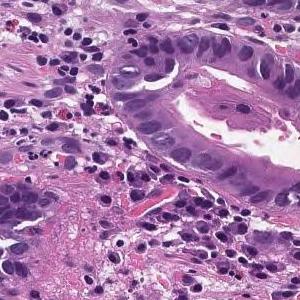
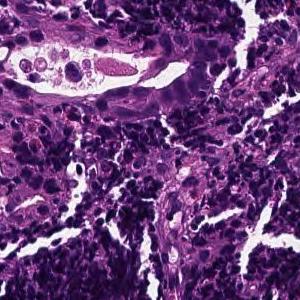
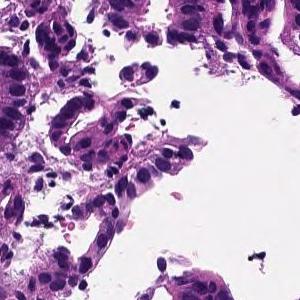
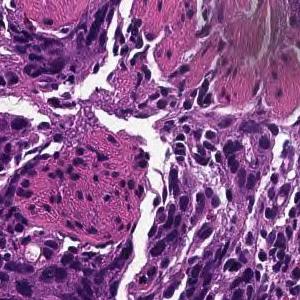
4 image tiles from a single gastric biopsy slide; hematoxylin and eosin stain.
Pathology report for the slide these tiles were cut from. The findings and the diagnosis refer to the entire slide; these tiles show only part of it, possibly with non-tumor tissue, and may not show every feature named.
In the superficial epithelium, tumor tissue that invades by forming medium-sized to small, irregular ducts is observed. moderately differentiated tubular adenocarcinoma.
